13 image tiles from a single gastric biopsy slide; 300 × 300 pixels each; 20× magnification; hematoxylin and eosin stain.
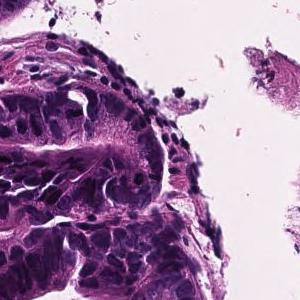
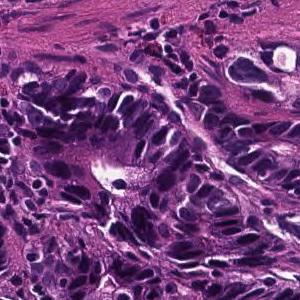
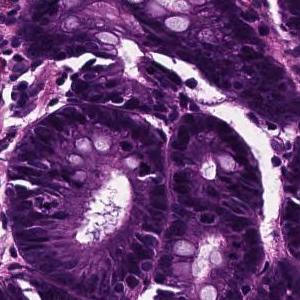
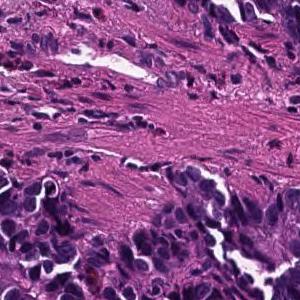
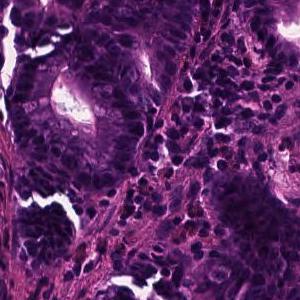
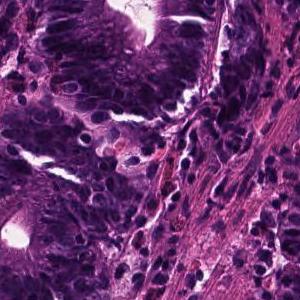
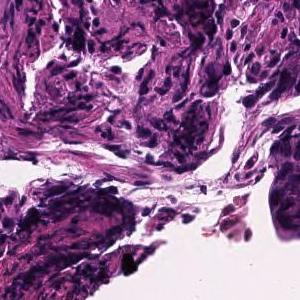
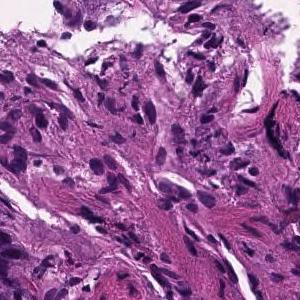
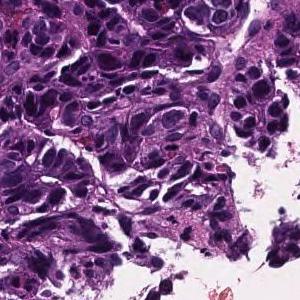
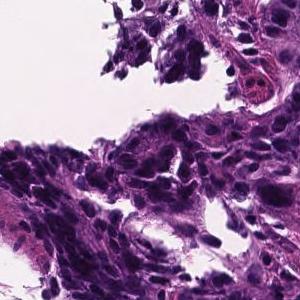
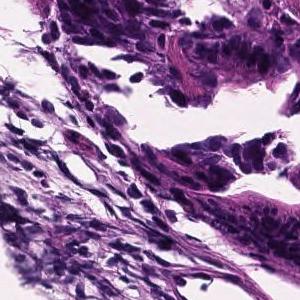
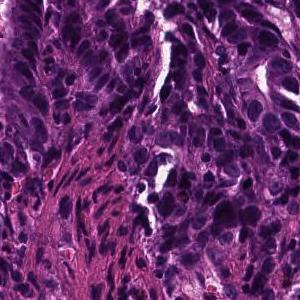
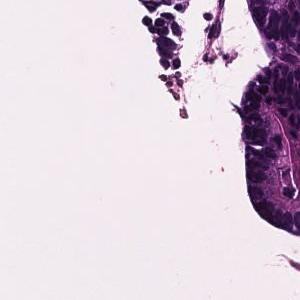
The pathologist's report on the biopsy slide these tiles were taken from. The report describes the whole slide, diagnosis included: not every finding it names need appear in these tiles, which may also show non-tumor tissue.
In the superficial epithelium, tumor tissue that invades by forming medium-sized to small, irregular ducts is observed. moderately differentiated tubular adenocarcinoma.
